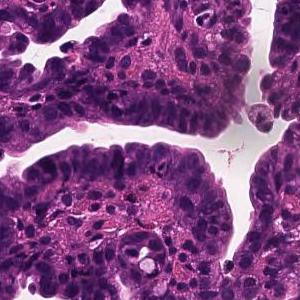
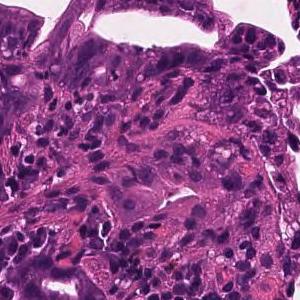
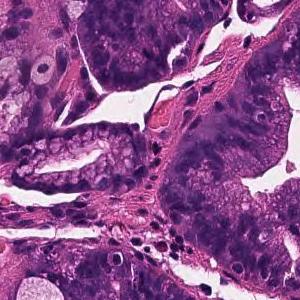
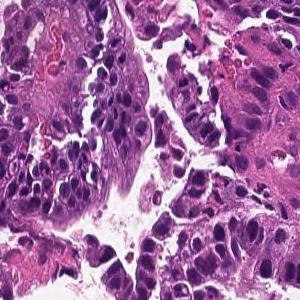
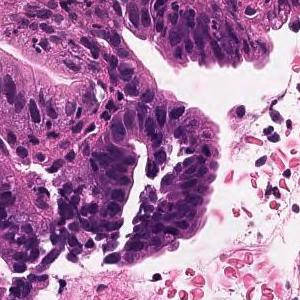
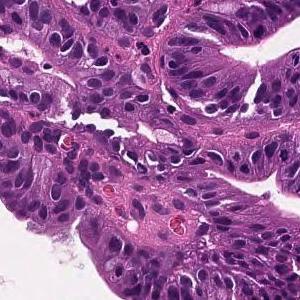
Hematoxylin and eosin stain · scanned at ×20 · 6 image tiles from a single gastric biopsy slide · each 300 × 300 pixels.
Pathology report for the slide these tiles were cut from. The findings and the diagnosis refer to the entire slide; these tiles show only part of it, possibly with non-tumor tissue, and may not show every feature named.
On the superficial epithelium, tumor tissue that infiltrates by forming medium-sized papillary or small irregular ducts is observed. Papillary adenocarcinoma
